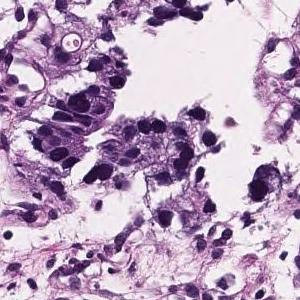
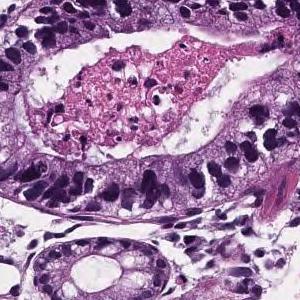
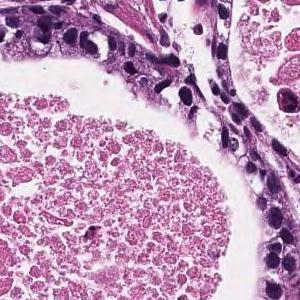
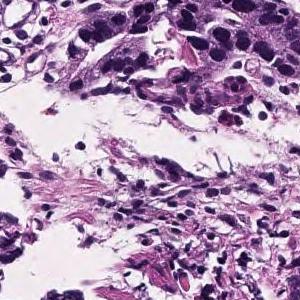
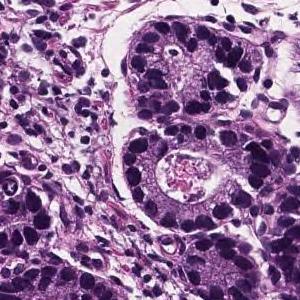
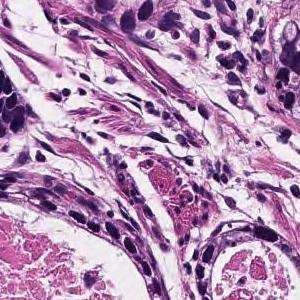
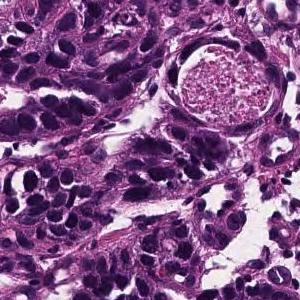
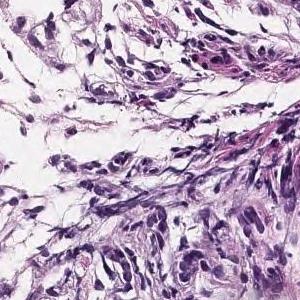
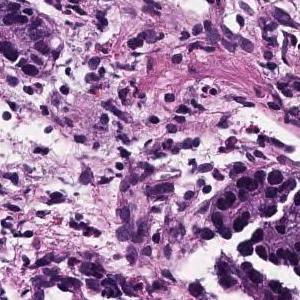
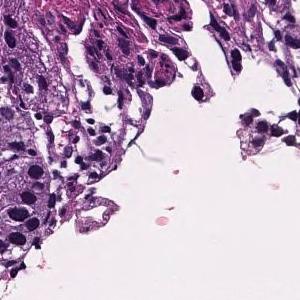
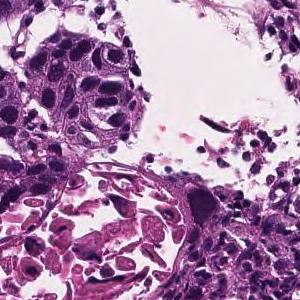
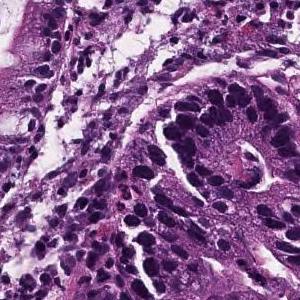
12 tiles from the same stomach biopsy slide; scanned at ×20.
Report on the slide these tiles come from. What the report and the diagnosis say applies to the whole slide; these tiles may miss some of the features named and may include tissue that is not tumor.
In the superficial epithelium, tumor tissue that invades by forming medium-sized to small, irregular ducts is observed. Well differentiated tubular adenocarcinoma.
